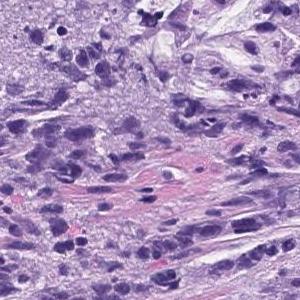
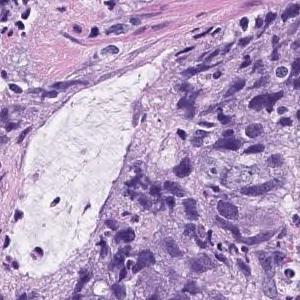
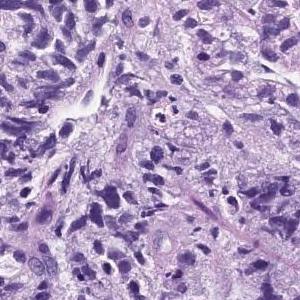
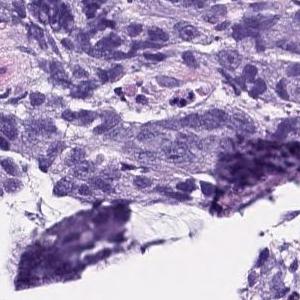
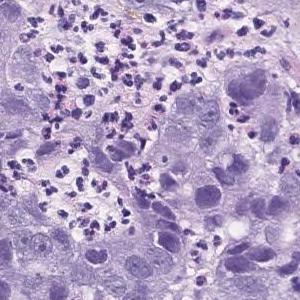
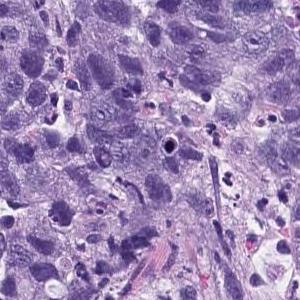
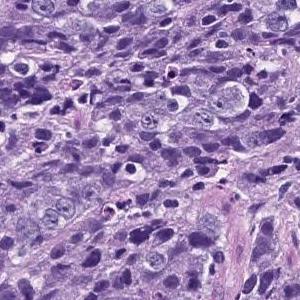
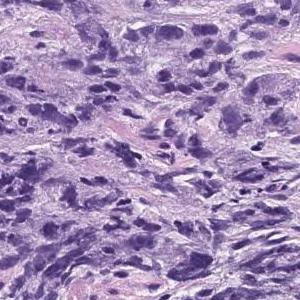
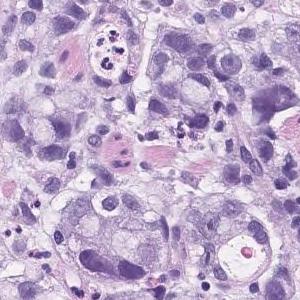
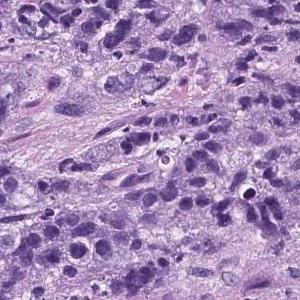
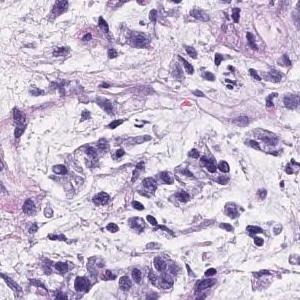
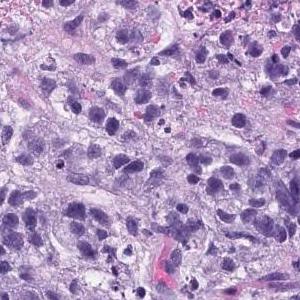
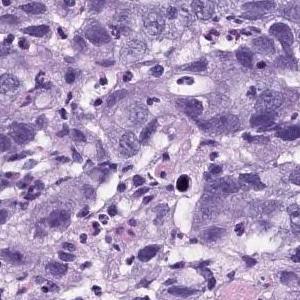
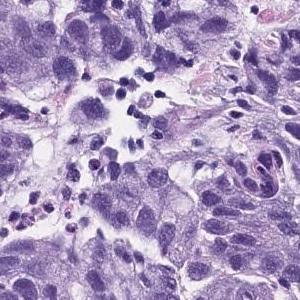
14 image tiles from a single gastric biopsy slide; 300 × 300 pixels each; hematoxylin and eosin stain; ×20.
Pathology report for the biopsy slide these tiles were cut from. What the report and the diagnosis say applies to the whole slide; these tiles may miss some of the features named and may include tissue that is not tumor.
Atypical l cells with atypical nuclei forming solid vesicles or small irregular atypical ducts that proliferate in a complex manner. poorly differentiated adenocarcinoma, solid type, moderately differentiated tubular adenocarcinoma
"Solid type" is a category of the Japanese Classification of Gastric Carcinoma; in the WHO 2019 classification it is tubular adenocarcinoma, poorly differentiated.
